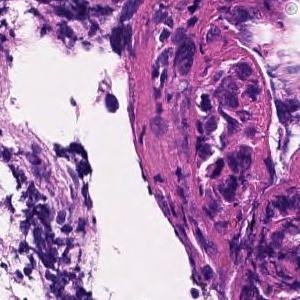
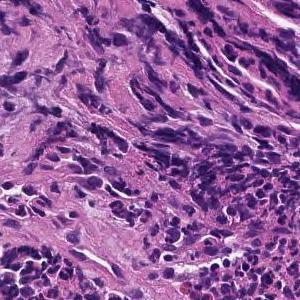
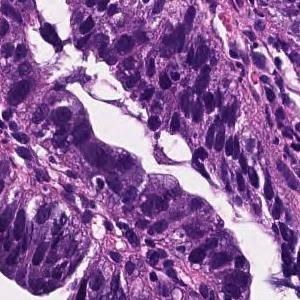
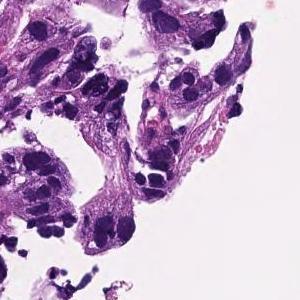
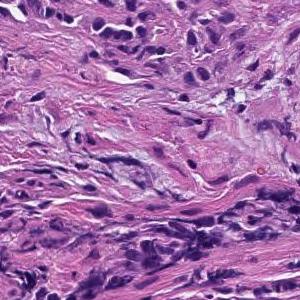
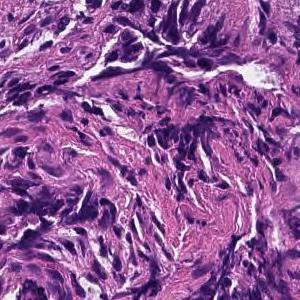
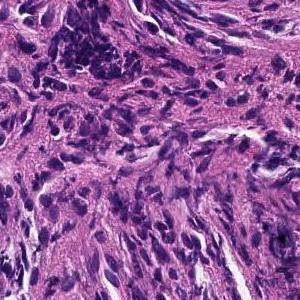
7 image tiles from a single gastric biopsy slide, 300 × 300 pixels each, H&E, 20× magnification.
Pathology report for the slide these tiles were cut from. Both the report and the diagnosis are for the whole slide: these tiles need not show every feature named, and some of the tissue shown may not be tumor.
Tumor tissue consisting of large papillary structures is found in the superficial epithelium. Papillary adenocarcinoma.
